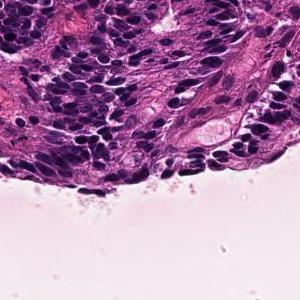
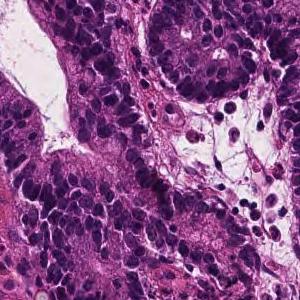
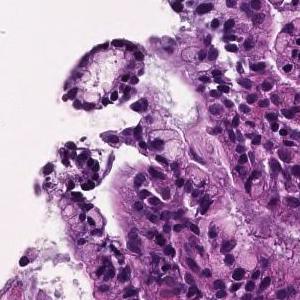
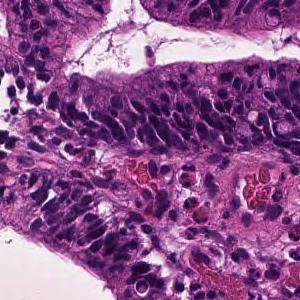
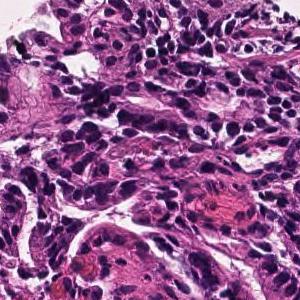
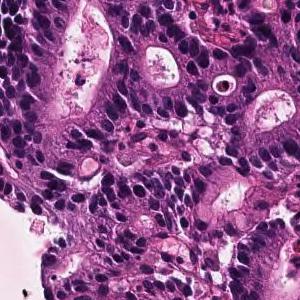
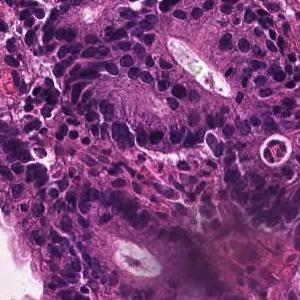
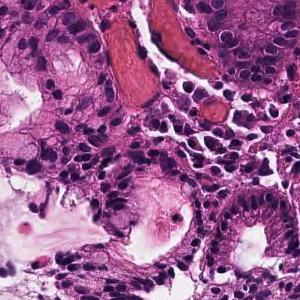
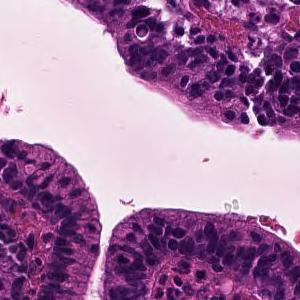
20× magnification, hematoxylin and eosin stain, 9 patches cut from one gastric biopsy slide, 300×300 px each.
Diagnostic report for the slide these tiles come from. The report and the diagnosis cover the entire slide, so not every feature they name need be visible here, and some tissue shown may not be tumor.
In the superficial epithelium, tumor tissue that invades by forming medium-sized to small, irregular ducts is observed. moderately differentiated tubular adenocarcinoma.
